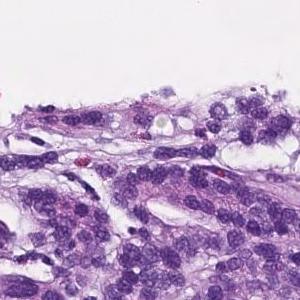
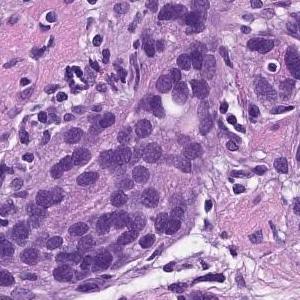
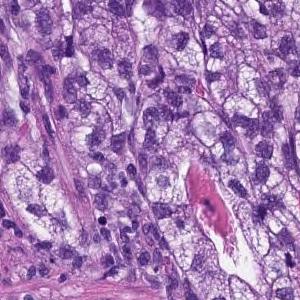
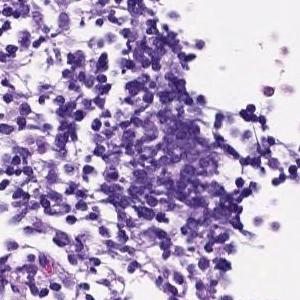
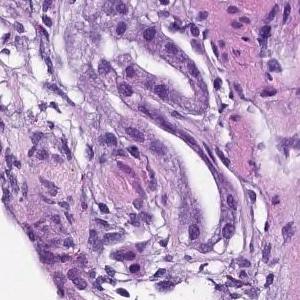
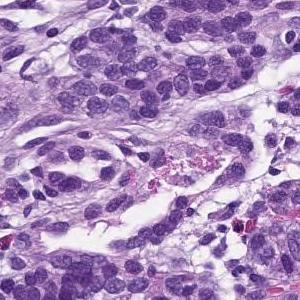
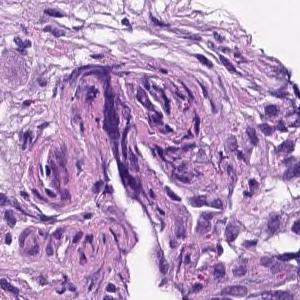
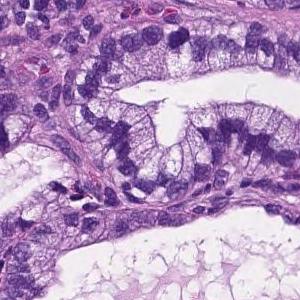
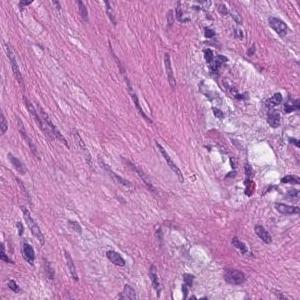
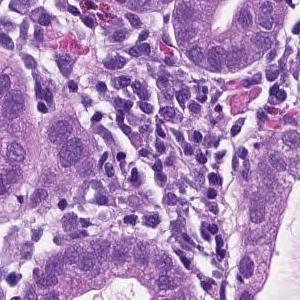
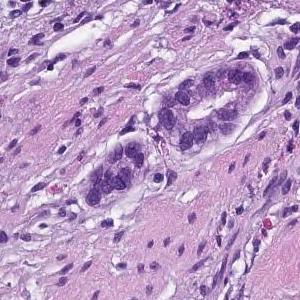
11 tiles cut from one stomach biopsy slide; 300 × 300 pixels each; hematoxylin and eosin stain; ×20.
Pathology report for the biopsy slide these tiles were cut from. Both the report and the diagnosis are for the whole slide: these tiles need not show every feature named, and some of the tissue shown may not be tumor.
From the superficial epithelium to the muscularis mucosae, tumor tissue consisting of medium-sized and irregular glandular ducts infiltrating is observed. Well differentiated tubular adenocarcinoma
